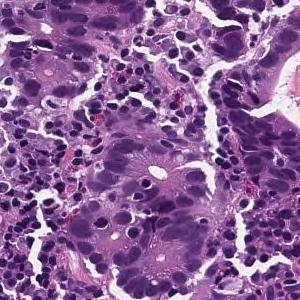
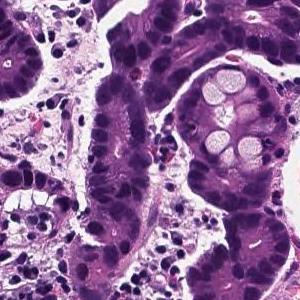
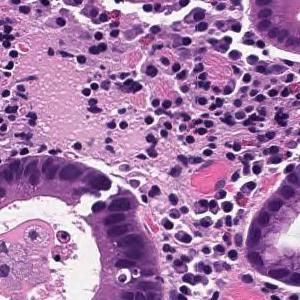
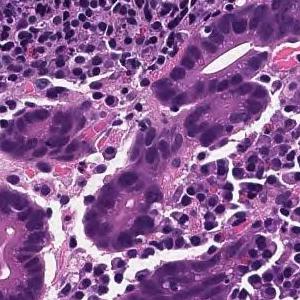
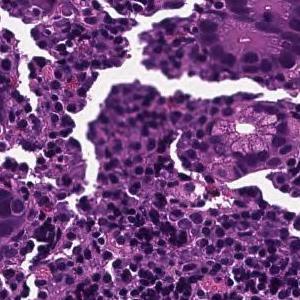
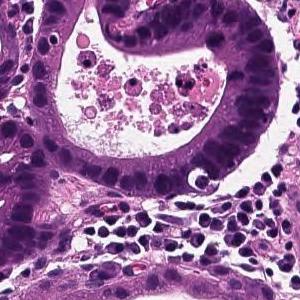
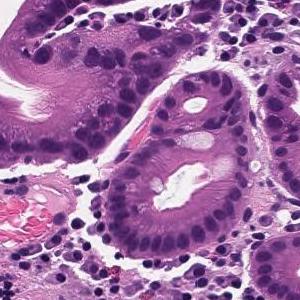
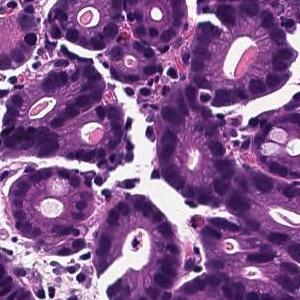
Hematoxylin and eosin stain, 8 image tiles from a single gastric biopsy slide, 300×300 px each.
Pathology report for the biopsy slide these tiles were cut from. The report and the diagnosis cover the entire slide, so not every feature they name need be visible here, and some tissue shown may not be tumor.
Cancer cells with strongly atypical nuclei grow while forming ducts showing lumens of various sizes. moderately differentiated tubular adenocarcinoma
